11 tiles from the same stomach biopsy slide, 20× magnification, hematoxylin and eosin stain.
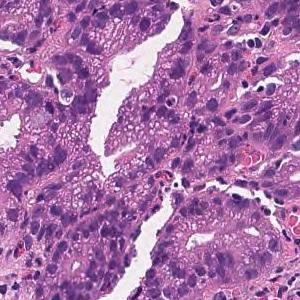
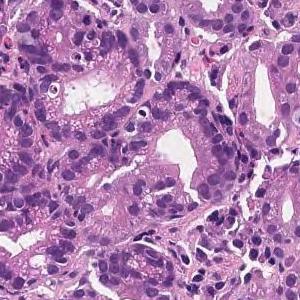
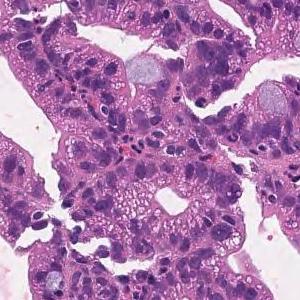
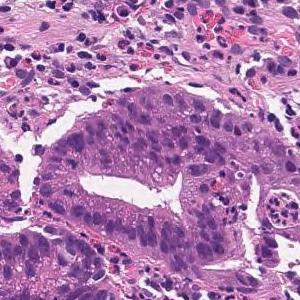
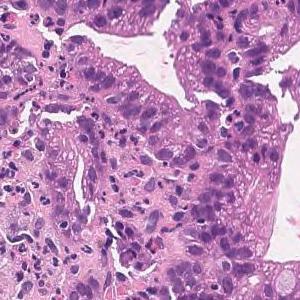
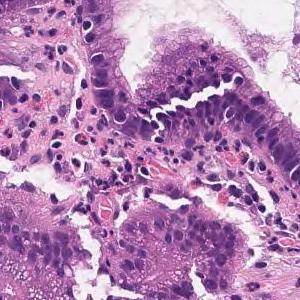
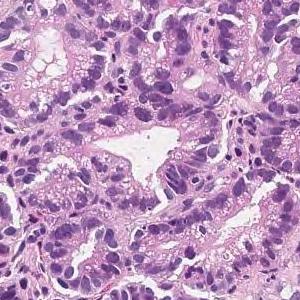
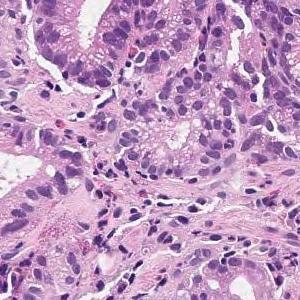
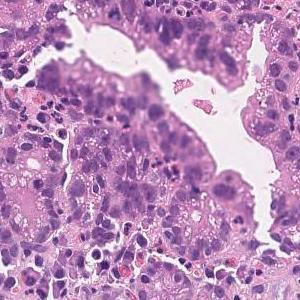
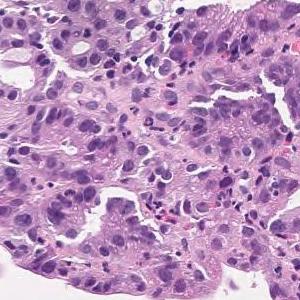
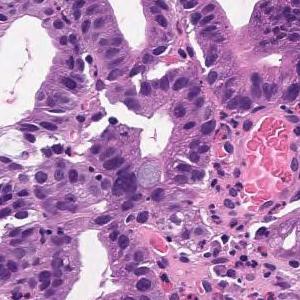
Diagnostic report for the slide these tiles come from. The report and the diagnosis cover the entire slide, so not every feature they name need be visible here, and some tissue shown may not be tumor.
On the superficial epithelium, tumor tissue that infiltrates by forming medium-sized papillary or small irregular ducts is observed. Papillary adenocarcinoma
